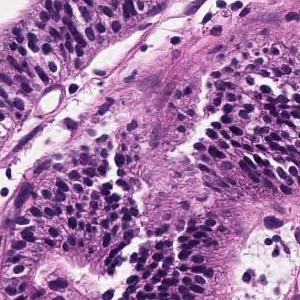
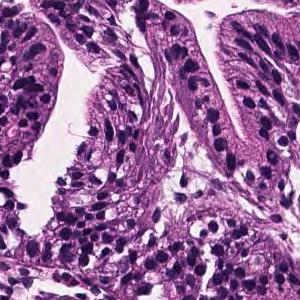
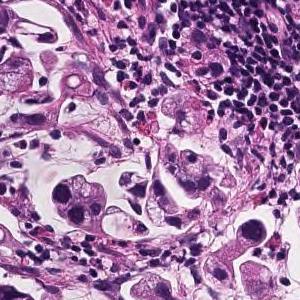
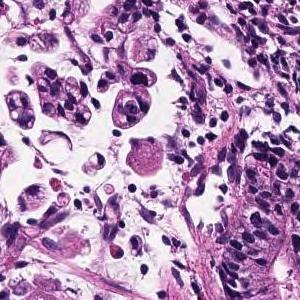
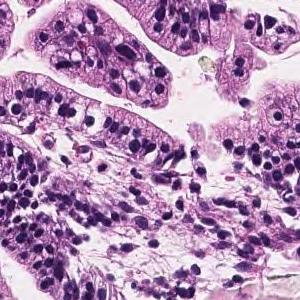
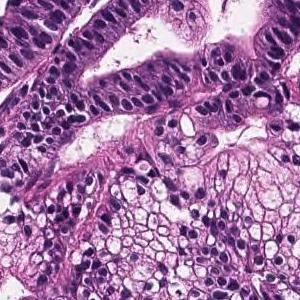
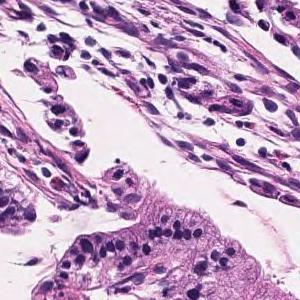
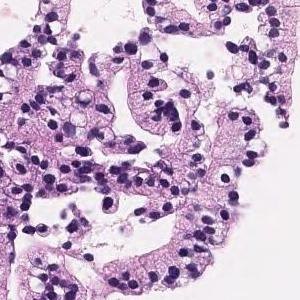
20× magnification · 8 image tiles from a single gastric biopsy slide · each 300 × 300 pixels.
Report on the slide these tiles come from. The findings and the diagnosis refer to the entire slide; these tiles show only part of it, possibly with non-tumor tissue, and may not show every feature named.
Tumor tissue consisting of large papillary structures or irregular glandular ducts partially fused and infiltrated is observed in the superficial epithelium. Well to moderately differentiated tubular adenocarcinoma.
Dataset label: moderately differentiated tubular adenocarcinoma.
